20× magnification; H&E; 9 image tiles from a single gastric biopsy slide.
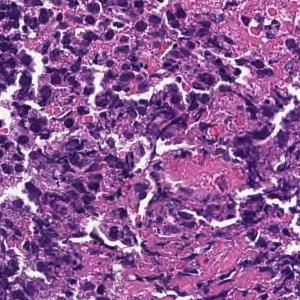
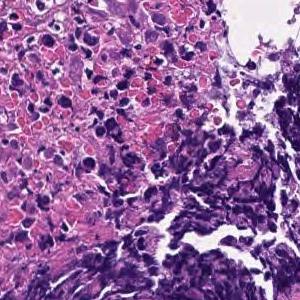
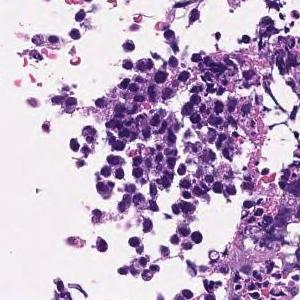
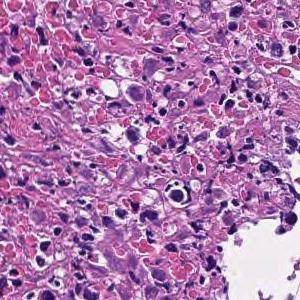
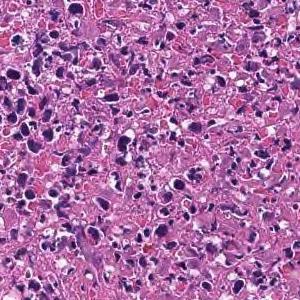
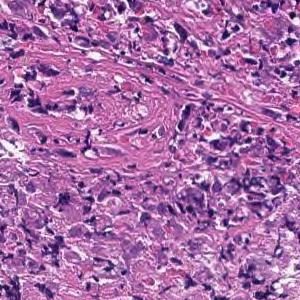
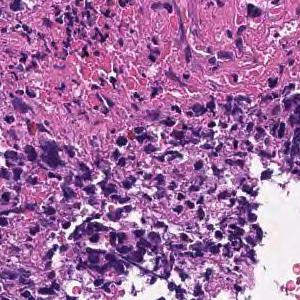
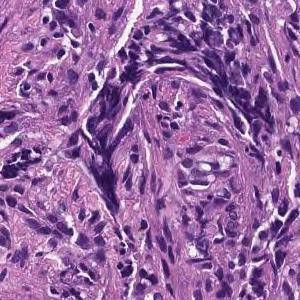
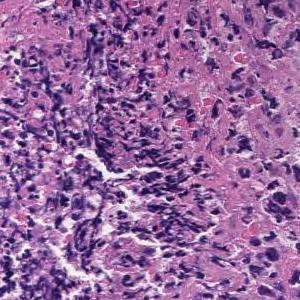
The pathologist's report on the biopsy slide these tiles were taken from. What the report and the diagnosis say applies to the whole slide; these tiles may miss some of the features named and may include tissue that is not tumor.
Most are composed of coagulative necrotic tissue, but some show a large sheet-like shape, and some show tumor tissue infiltrating with a small cord-like structure. Poorly differentiated adenocarcinoma, solid-type
Histologic type: Poorly differentiated adenocarcinoma, solid type (Japanese Classification of Gastric Carcinoma). The WHO 2019 equivalent is tubular adenocarcinoma, poorly differentiated.
